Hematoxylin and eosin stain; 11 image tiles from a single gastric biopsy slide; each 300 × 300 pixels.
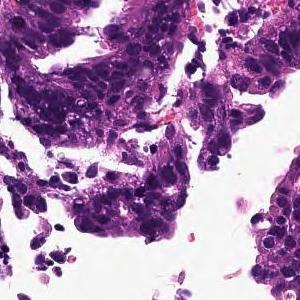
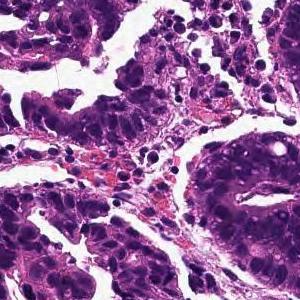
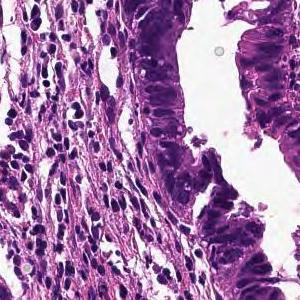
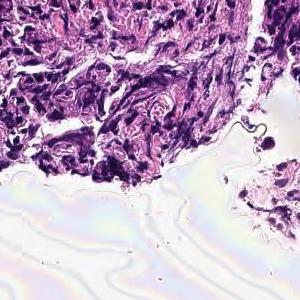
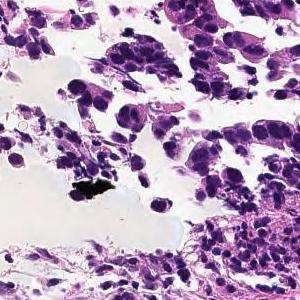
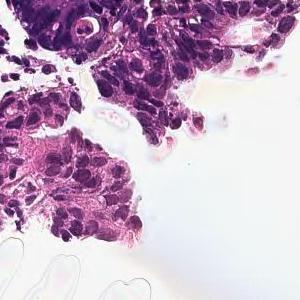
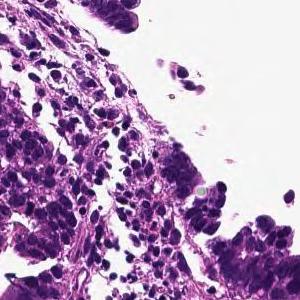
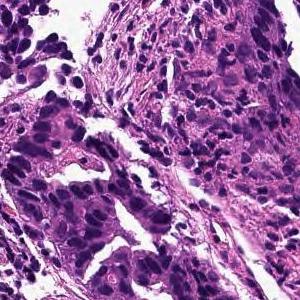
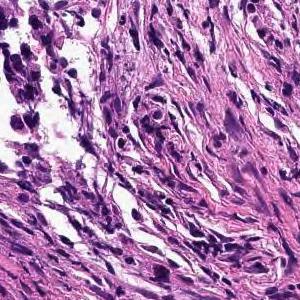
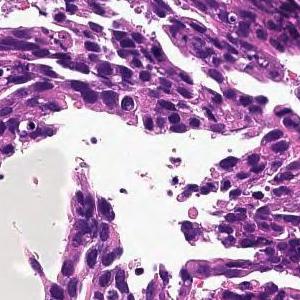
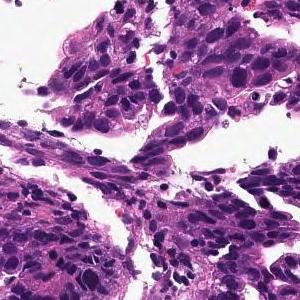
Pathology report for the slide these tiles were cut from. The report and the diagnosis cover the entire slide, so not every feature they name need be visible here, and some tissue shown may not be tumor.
In the superficial epithelium, tumor tissue that invades by forming medium-sized to small, irregular ducts is observed. moderately differentiated tubular adenocarcinoma.
